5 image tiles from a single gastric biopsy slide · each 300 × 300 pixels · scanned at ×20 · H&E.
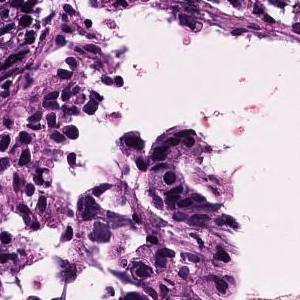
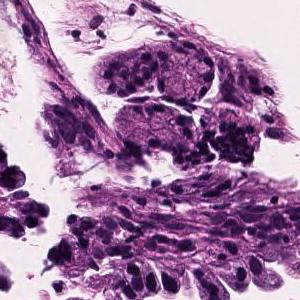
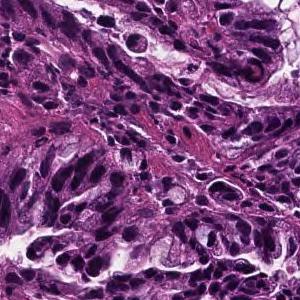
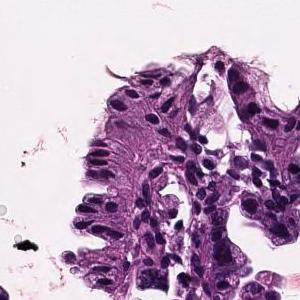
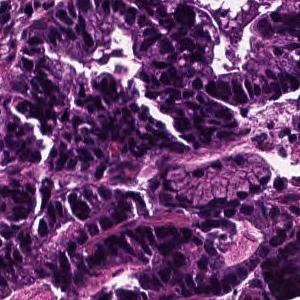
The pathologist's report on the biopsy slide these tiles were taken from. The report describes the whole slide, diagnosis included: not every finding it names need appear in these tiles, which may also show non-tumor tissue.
In the superficial epithelium, tumor tissue that invades by forming medium-sized to small, irregular ducts is observed. Well differentiated tubular adenocarcinoma.
